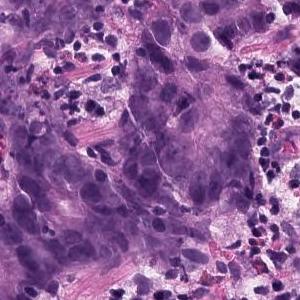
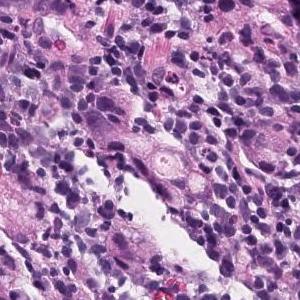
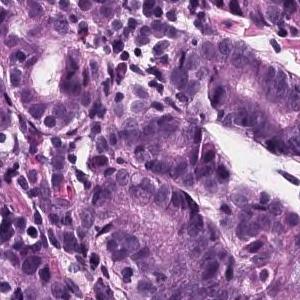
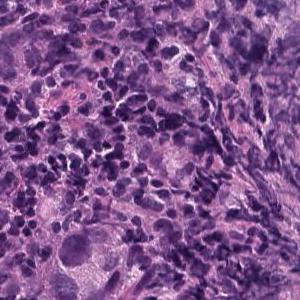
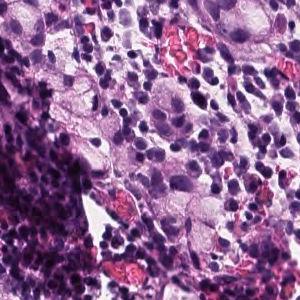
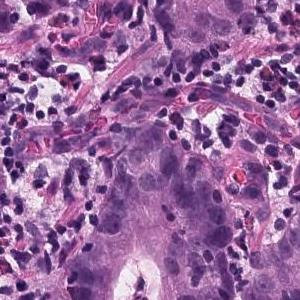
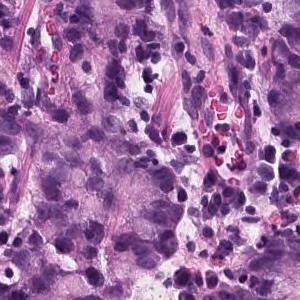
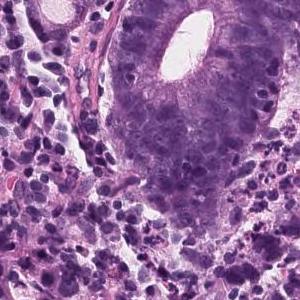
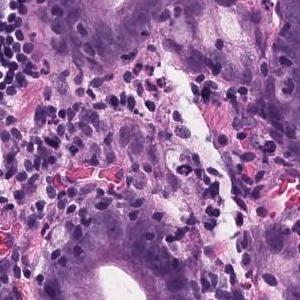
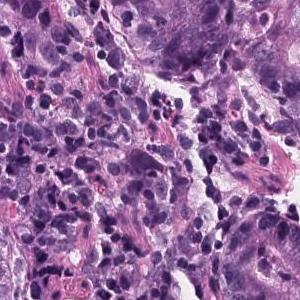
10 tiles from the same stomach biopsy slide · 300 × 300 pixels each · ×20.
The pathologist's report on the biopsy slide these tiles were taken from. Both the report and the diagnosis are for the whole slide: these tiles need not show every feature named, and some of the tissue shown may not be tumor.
In the superficial epithelium, tumor tissue that invades by forming medium-sized to small, irregular ducts is observed. Moderately differentiated adenocarcinoma.
Histological subtype: Moderately differentiated tubular adenocarcinoma.
